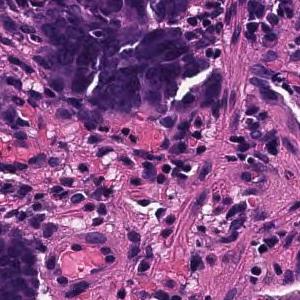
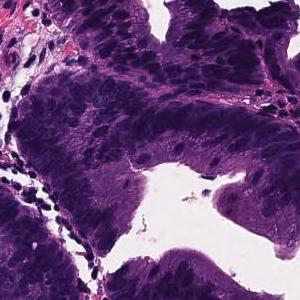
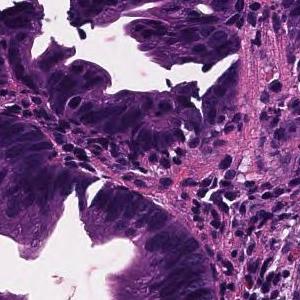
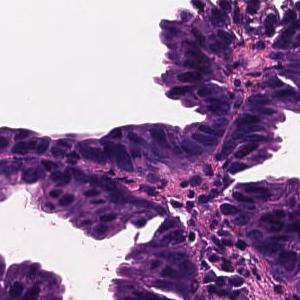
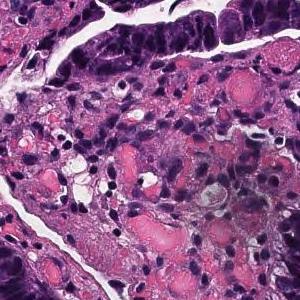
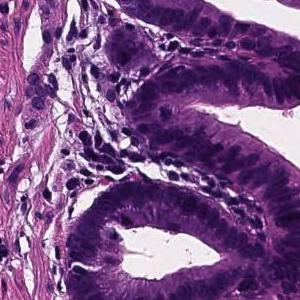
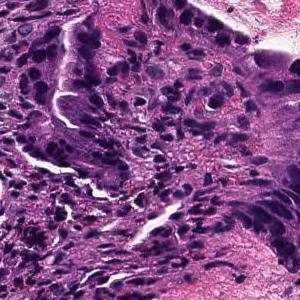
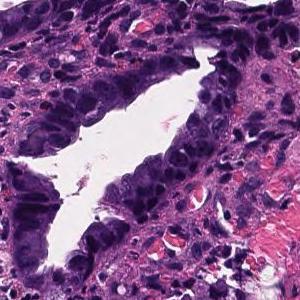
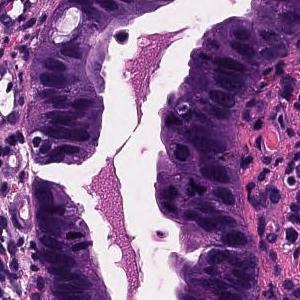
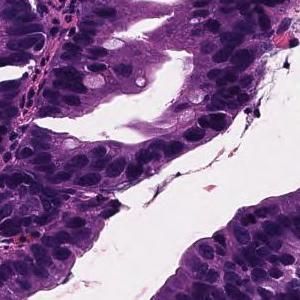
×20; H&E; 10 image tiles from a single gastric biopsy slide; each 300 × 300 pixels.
Pathology report for the biopsy slide these tiles were cut from. Both the report and the diagnosis are for the whole slide: these tiles need not show every feature named, and some of the tissue shown may not be tumor.
Tumor cells are large, highly columnar, large club-shaped nuclei, and are associated with chromatin aggregation. Papillary adenocarcinoma.
